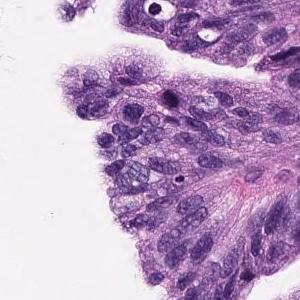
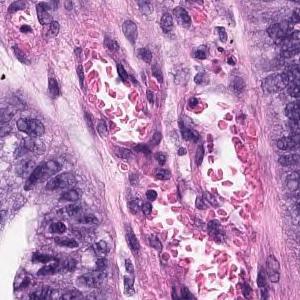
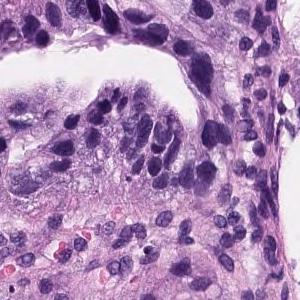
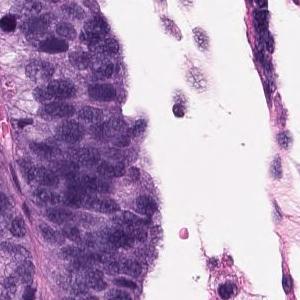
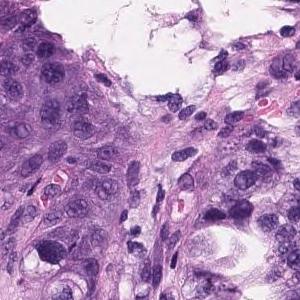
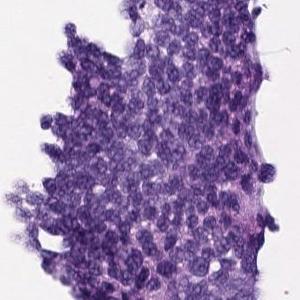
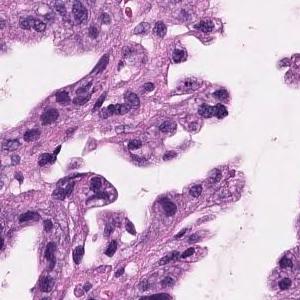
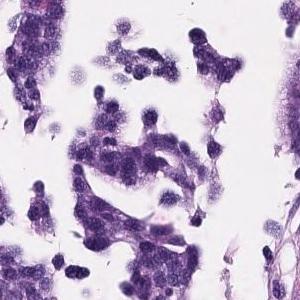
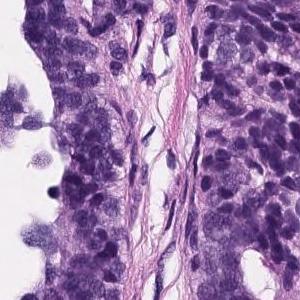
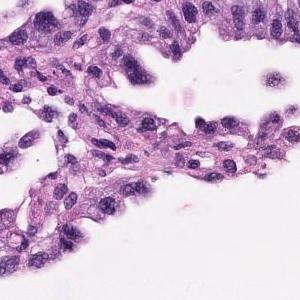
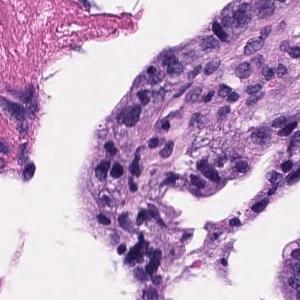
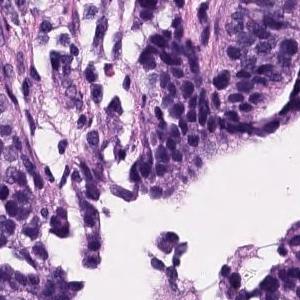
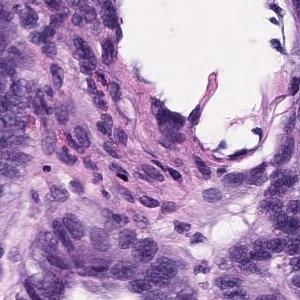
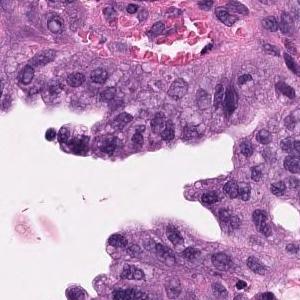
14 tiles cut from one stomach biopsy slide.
Pathology report for the biopsy slide these tiles were cut from. The findings and the diagnosis refer to the entire slide; these tiles show only part of it, possibly with non-tumor tissue, and may not show every feature named.
Tumor cells are large, highly columnar, large club-shaped nuclei, and are associated with chromatin aggregation. Papillary adenocarcinoma.
